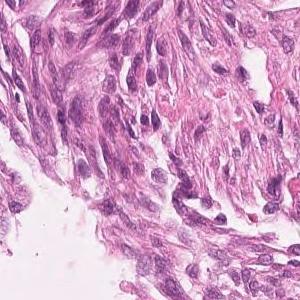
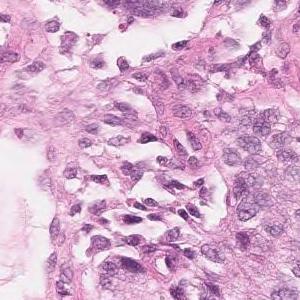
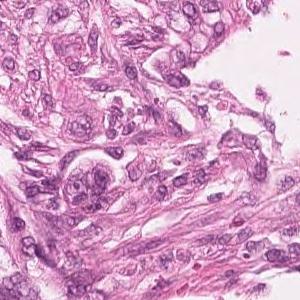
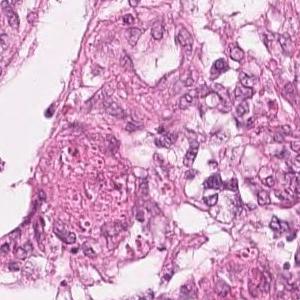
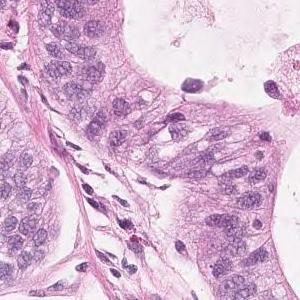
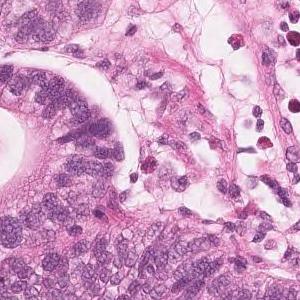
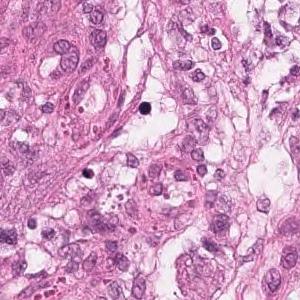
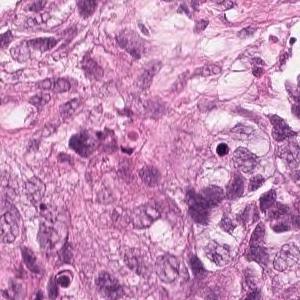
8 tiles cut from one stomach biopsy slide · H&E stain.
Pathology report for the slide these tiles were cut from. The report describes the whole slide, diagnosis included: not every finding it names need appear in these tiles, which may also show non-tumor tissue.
Highly columnar epithelium with disordered nuclear localization proliferates showing fusion ductal construction. moderately differentiated tubular adenocarcinoma
